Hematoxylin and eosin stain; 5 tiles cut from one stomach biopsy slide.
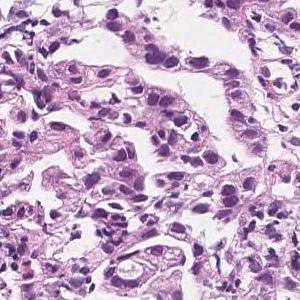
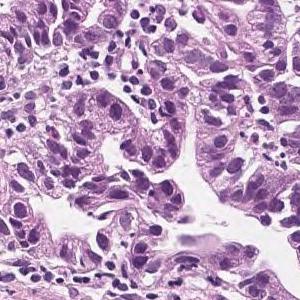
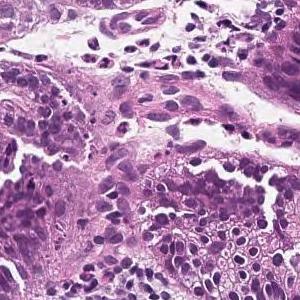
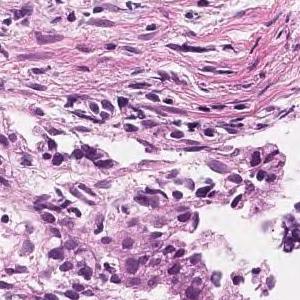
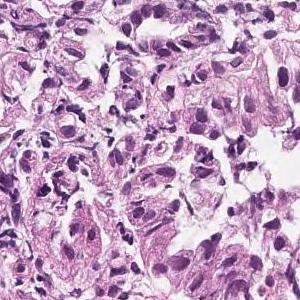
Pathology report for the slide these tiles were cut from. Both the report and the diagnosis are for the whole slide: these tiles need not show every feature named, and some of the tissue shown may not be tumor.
In the superficial epithelium, tumor tissue that invades by forming medium-sized to small, irregular ducts is observed. moderately differentiated tubular adenocarcinoma.
